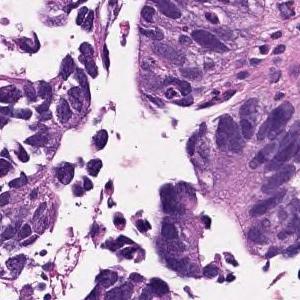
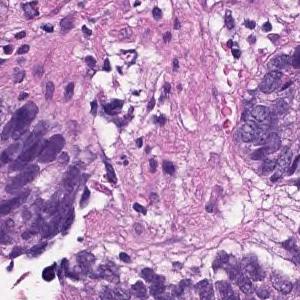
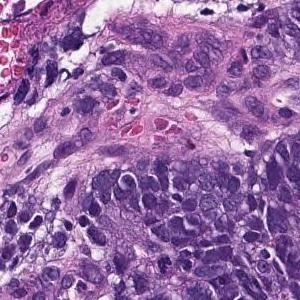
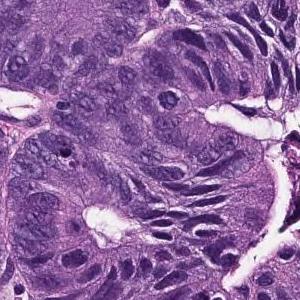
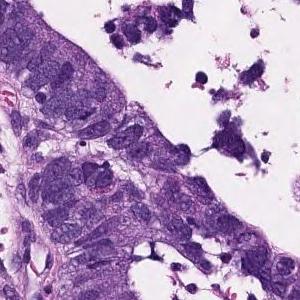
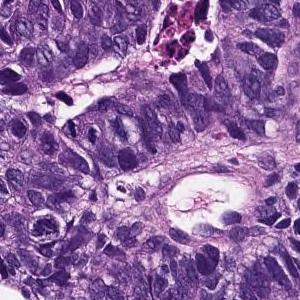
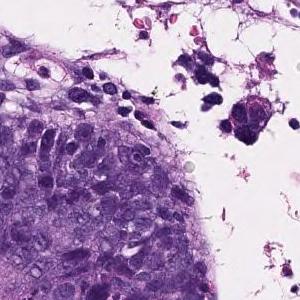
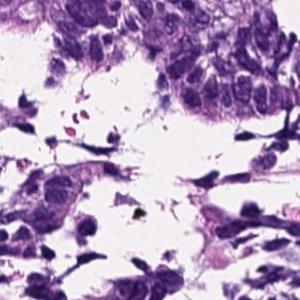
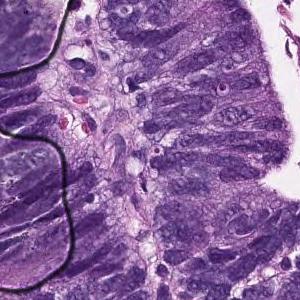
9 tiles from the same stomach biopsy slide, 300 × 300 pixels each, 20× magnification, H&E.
The pathologist's report on the biopsy slide these tiles were taken from. The findings and the diagnosis refer to the entire slide; these tiles show only part of it, possibly with non-tumor tissue, and may not show every feature named.
In the superficial epithelium, tumor tissue that invades by forming medium-sized to small, irregular ducts is observed. moderately differentiated tubular adenocarcinoma.
